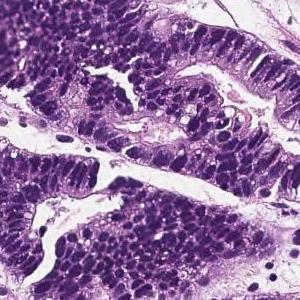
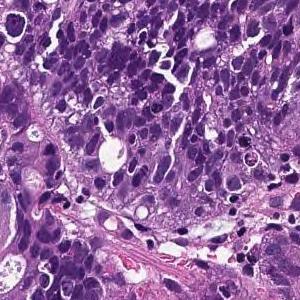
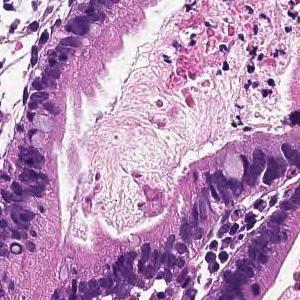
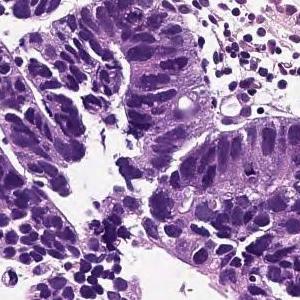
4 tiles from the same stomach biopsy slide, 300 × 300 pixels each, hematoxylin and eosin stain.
Pathology report for the slide these tiles were cut from. The report and the diagnosis describe the slide as a whole, so these tiles may not show every feature named and may include non-tumor tissue.
In the superficial epithelium, tumor tissue that invades by forming medium-sized to small, irregular ducts is observed. moderately differentiated tubular adenocarcinoma.
